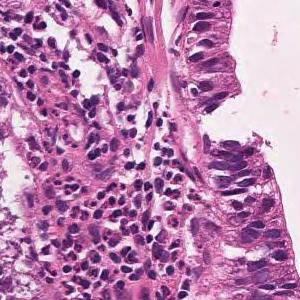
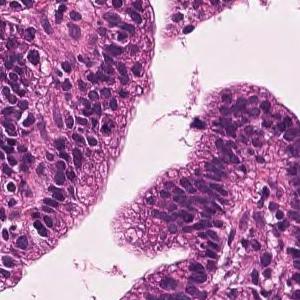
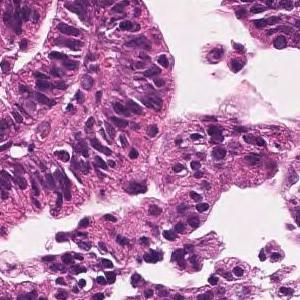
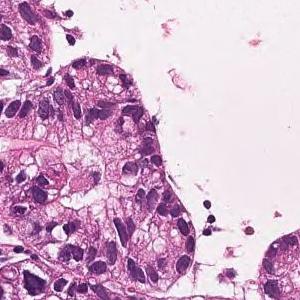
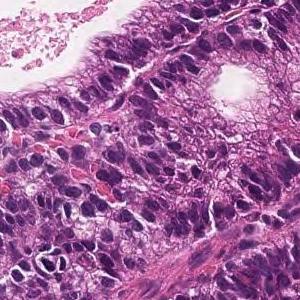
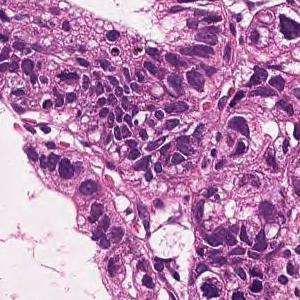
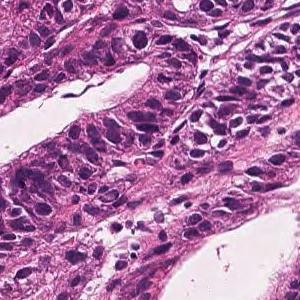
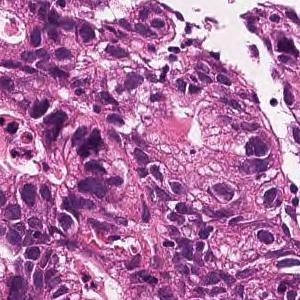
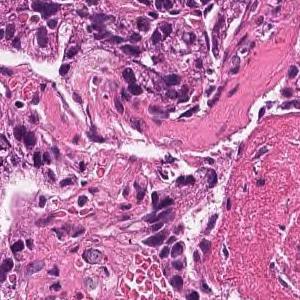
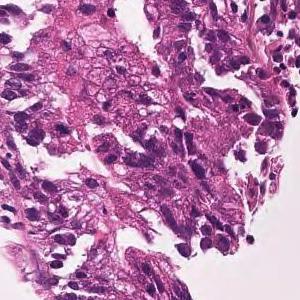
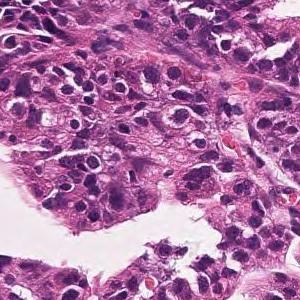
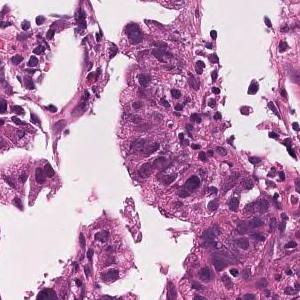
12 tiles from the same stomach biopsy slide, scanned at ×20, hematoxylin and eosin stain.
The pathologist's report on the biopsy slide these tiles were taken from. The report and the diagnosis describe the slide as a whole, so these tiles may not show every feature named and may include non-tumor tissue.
On the superficial epithelium, tumor tissue consisting of large, irregular glandular ducts partially fused and infiltrated is observed. Well to moderately differentiated tubular adenocarcinoma (well differentiated tubular adenocarcinoma, moderately differentiated tubular adenocarcinoma)
Histological subtype: Well to moderately differentiated tubular adenocarcinoma.
